H&E · ×20 · 10 image tiles from a single gastric biopsy slide.
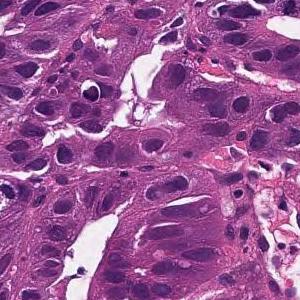
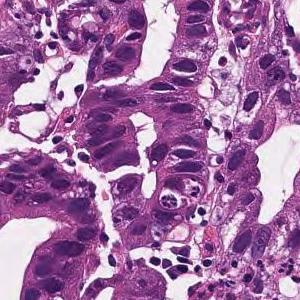
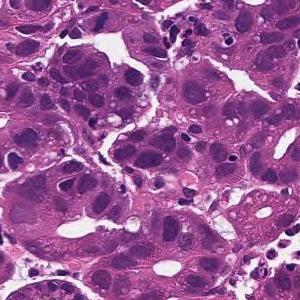
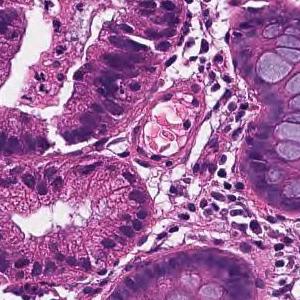
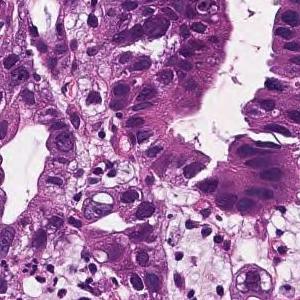
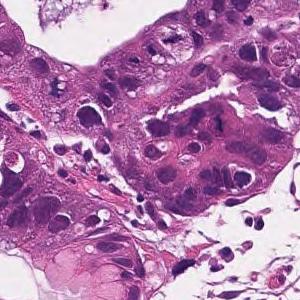
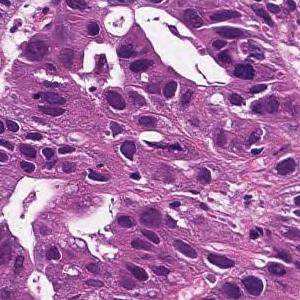
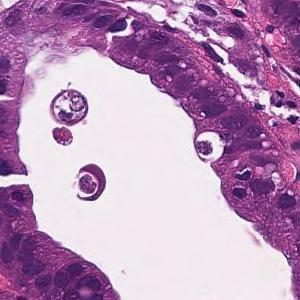
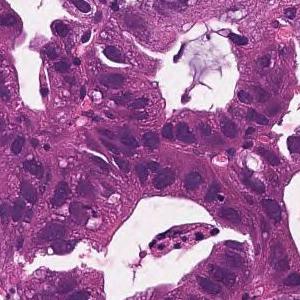
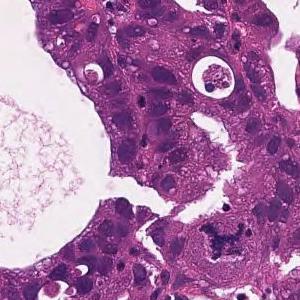
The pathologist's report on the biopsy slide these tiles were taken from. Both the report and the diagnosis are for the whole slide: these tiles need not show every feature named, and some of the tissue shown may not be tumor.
In the superficial epithelium, tumor tissue that invades by forming medium-sized to small, irregular ducts is observed. moderately differentiated tubular adenocarcinoma.
